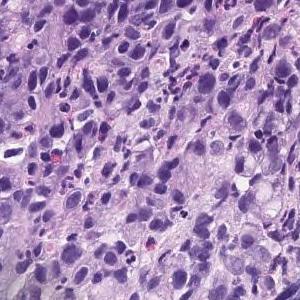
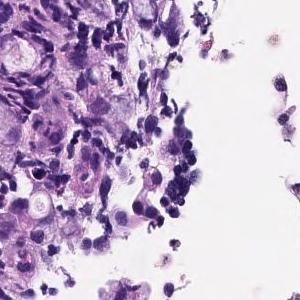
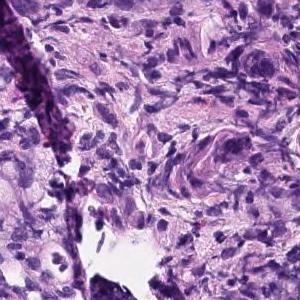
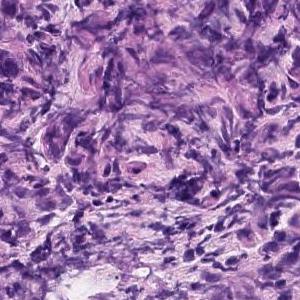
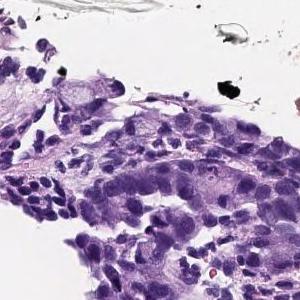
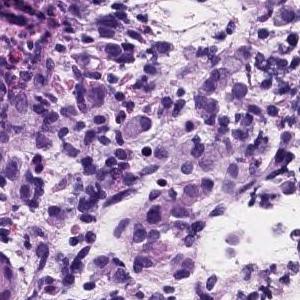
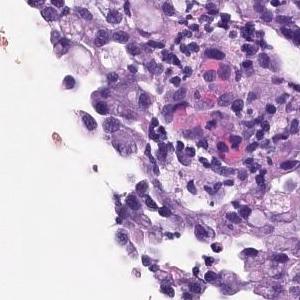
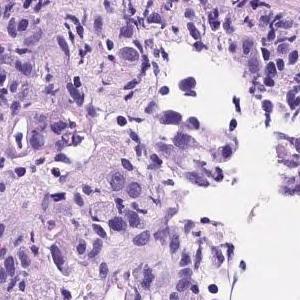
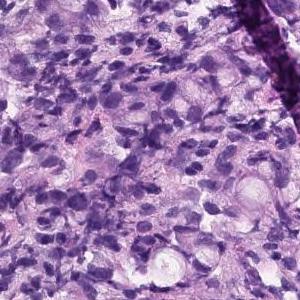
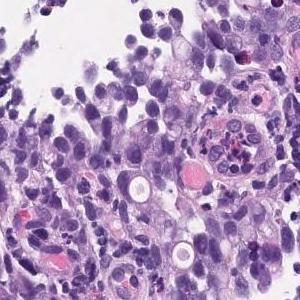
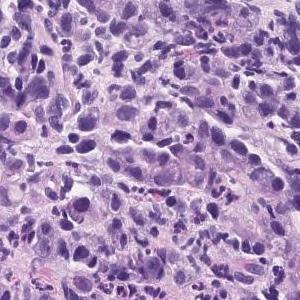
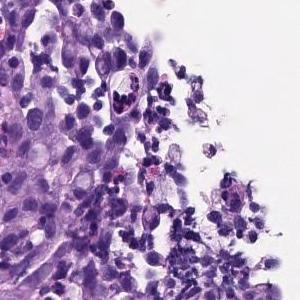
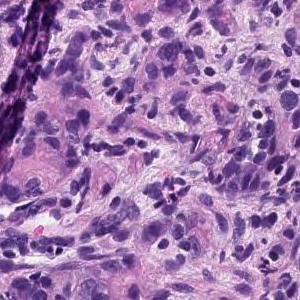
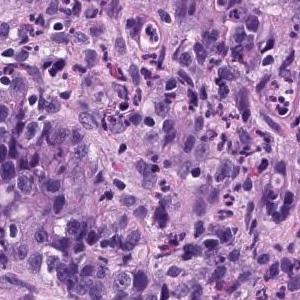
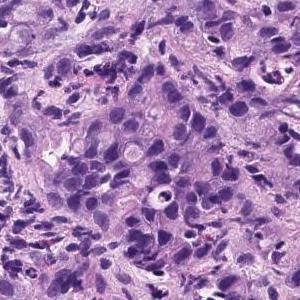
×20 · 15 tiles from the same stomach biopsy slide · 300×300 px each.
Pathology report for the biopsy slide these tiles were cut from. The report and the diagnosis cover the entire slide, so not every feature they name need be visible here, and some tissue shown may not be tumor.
Diffusely growing signet-ring cells are found in the lamina propria. Signet ring cell carcinoma.
